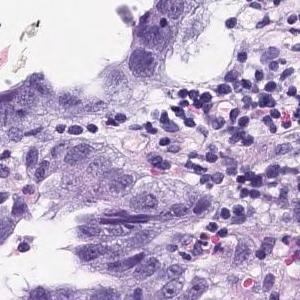
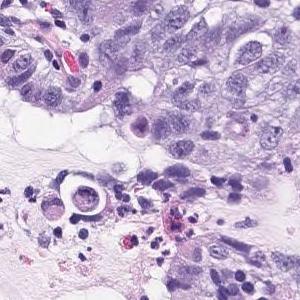
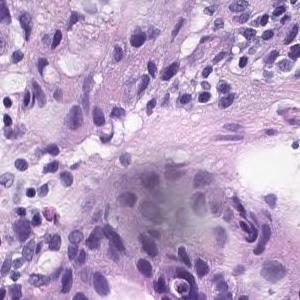
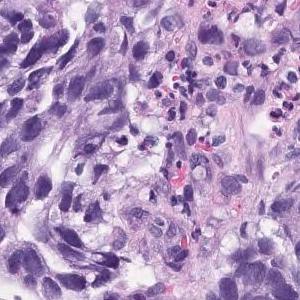
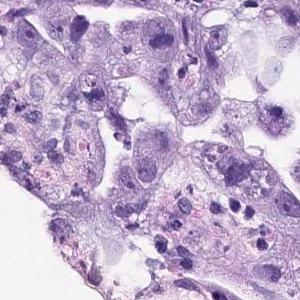
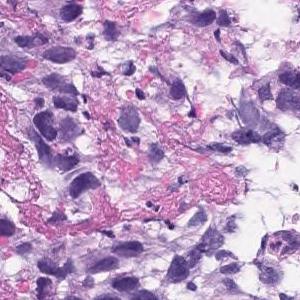
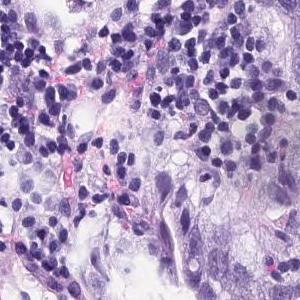
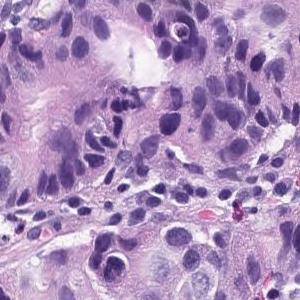
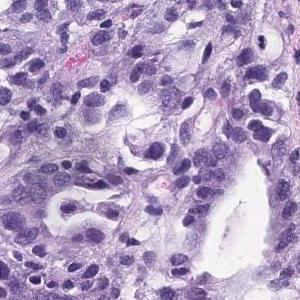
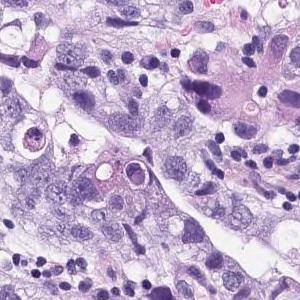
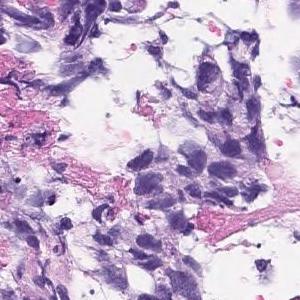
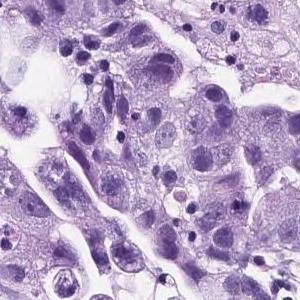
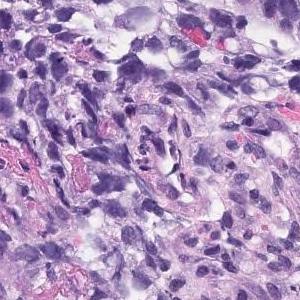
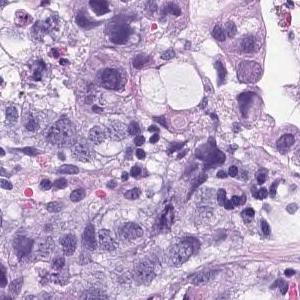
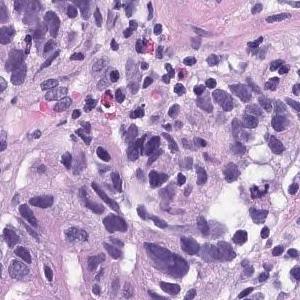
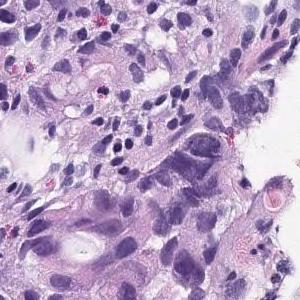
Hematoxylin and eosin stain · ×20 · 16 patches cut from one gastric biopsy slide · each 300 × 300 pixels.
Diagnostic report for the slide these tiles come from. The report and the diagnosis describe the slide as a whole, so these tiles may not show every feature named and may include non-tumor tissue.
In the superficial epithelium, tumor tissue that invades by forming medium-sized to small, irregular ducts is observed. Moderately differentiated adenocarcinoma.
Tumor subtype: moderately differentiated tubular adenocarcinoma.
